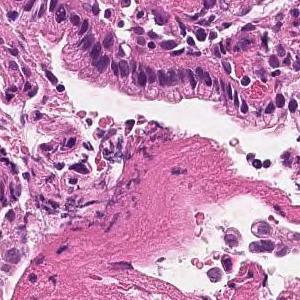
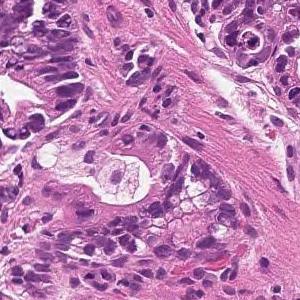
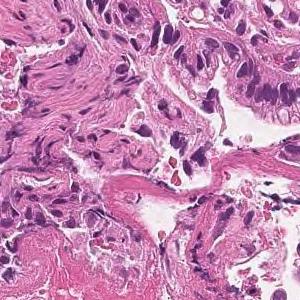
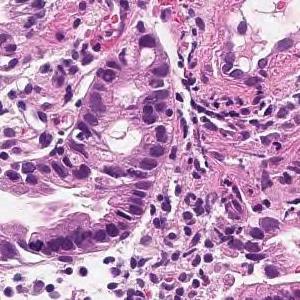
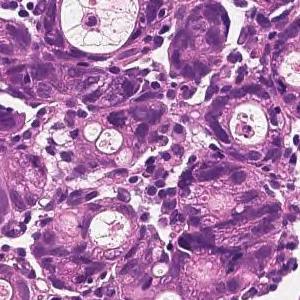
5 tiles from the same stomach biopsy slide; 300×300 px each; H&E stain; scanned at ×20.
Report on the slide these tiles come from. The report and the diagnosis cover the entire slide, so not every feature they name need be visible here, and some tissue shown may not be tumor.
On the superficial epithelium, tumor tissue is found in which medium-sized irregular gland ducts fuse with each other and infiltrate. moderately differentiated tubular adenocarcinoma
